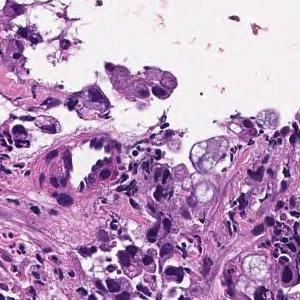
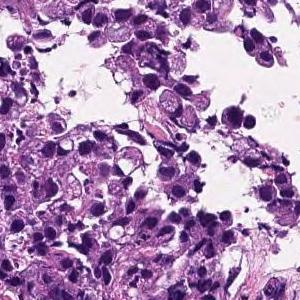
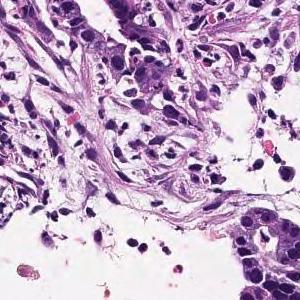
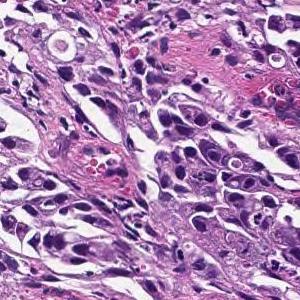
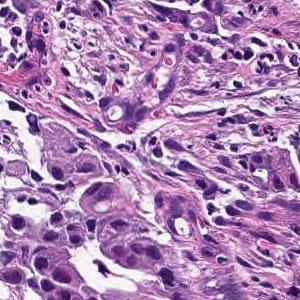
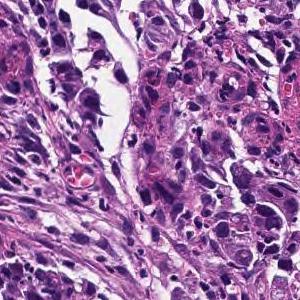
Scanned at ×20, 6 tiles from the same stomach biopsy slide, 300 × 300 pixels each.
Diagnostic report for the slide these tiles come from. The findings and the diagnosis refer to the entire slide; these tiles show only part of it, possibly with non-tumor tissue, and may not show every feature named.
Medium to small, irregular glandular ducts are formed in the superficial epithelium, and in some cases, the glandular ducts are fused to show solid alveolar lesions and infiltrating tumor tissue is observed. Moderately to poorly differentiated adenocarcinoma.
